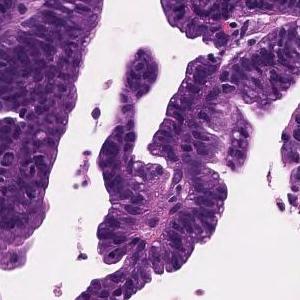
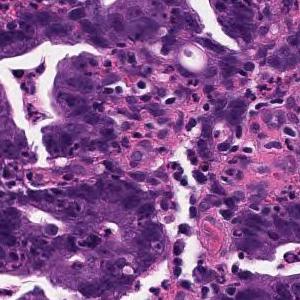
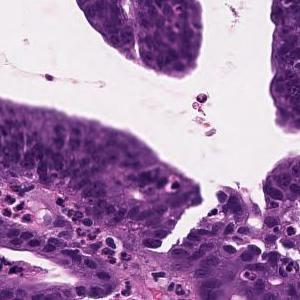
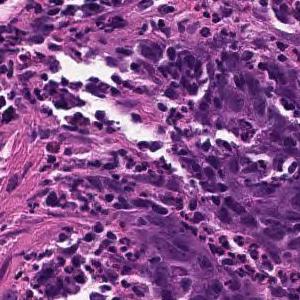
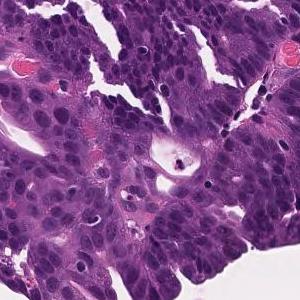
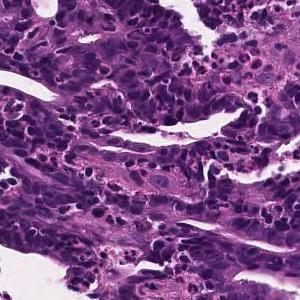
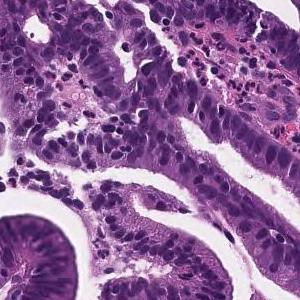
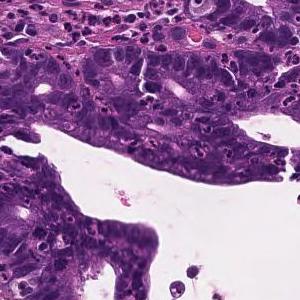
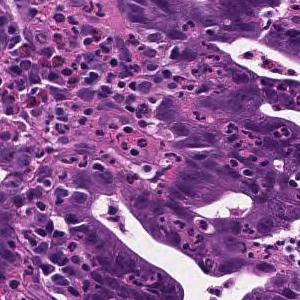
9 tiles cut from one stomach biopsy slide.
Diagnostic report for the slide these tiles come from. What the report and the diagnosis say applies to the whole slide; these tiles may miss some of the features named and may include tissue that is not tumor.
Tumor cells are large, highly columnar, large club-shaped nuclei, and are associated with chromatin aggregation. Papillary adenocarcinoma.
